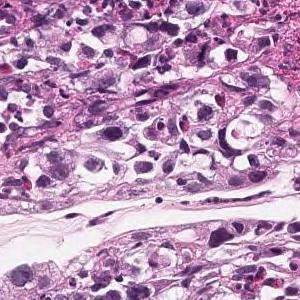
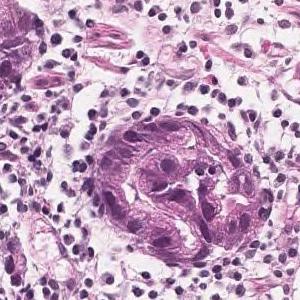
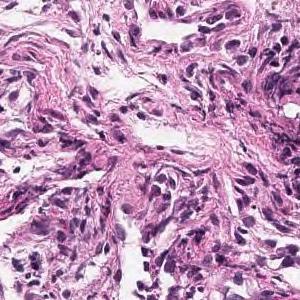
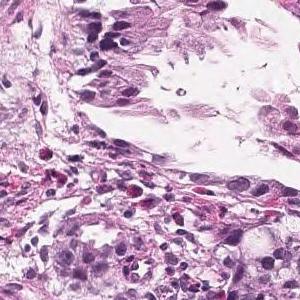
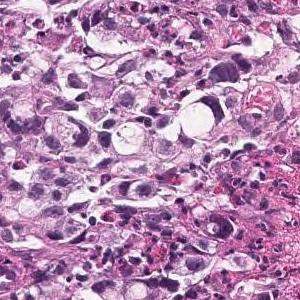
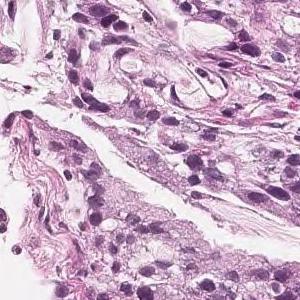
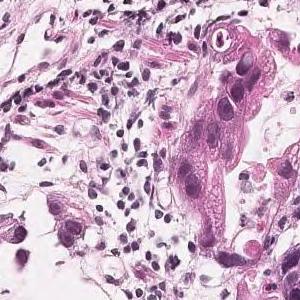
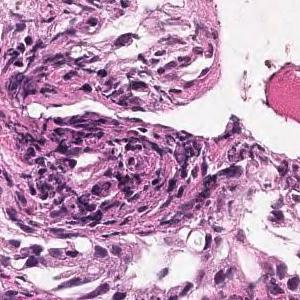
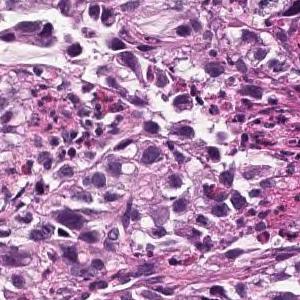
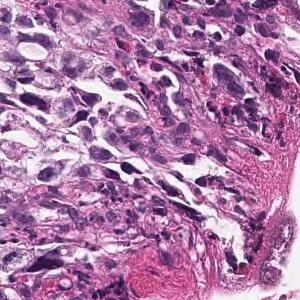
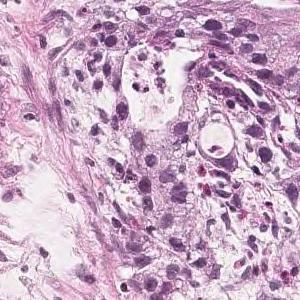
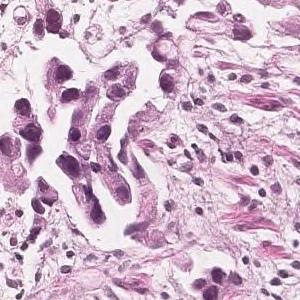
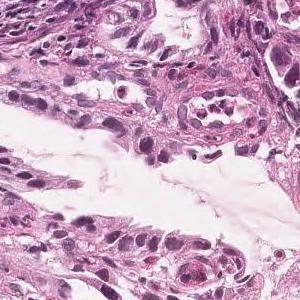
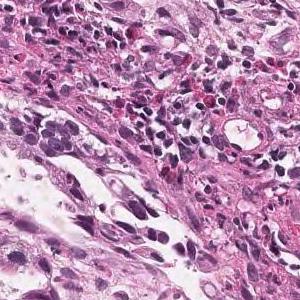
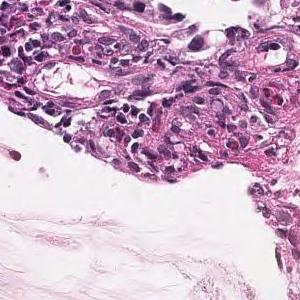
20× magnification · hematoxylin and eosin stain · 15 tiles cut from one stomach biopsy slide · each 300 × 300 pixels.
The pathologist's report on the biopsy slide these tiles were taken from. The report and the diagnosis describe the slide as a whole, so these tiles may not show every feature named and may include non-tumor tissue.
Tumor tissue consisting of medium-sized, cord-like or irregular glandular infiltration is observed in the superficial epithelium. Poorly differentiated adenocarcinoma, non-solid type or moderately differentiated tubular adenocarcinoma
"Non-solid type" is a category of the Japanese Classification of Gastric Carcinoma.
